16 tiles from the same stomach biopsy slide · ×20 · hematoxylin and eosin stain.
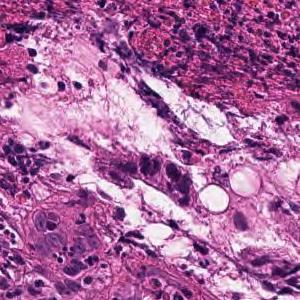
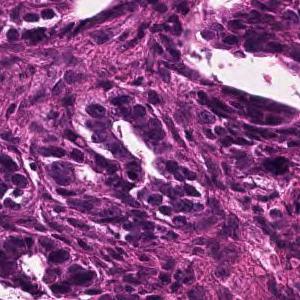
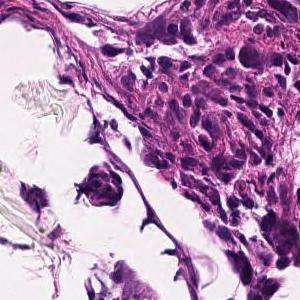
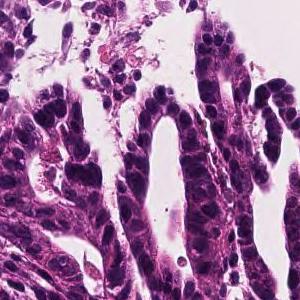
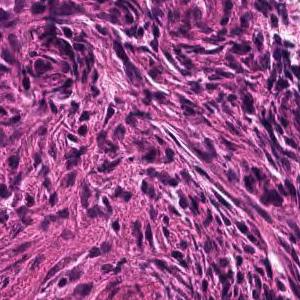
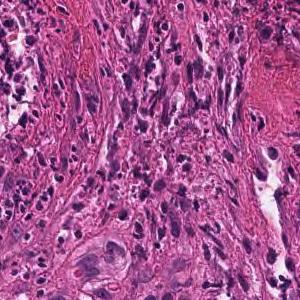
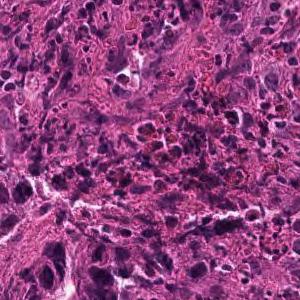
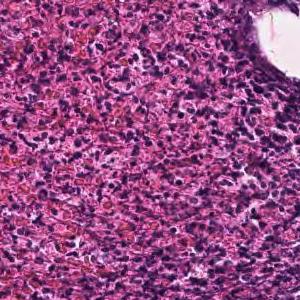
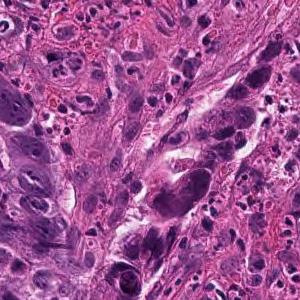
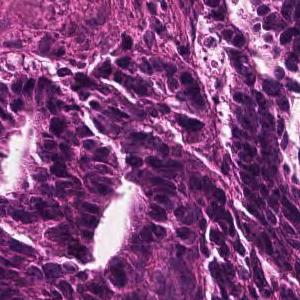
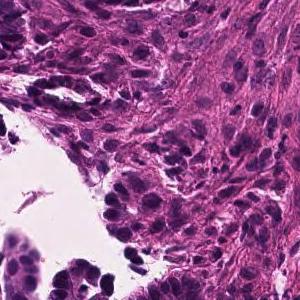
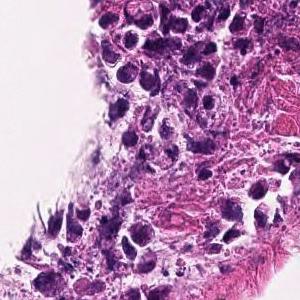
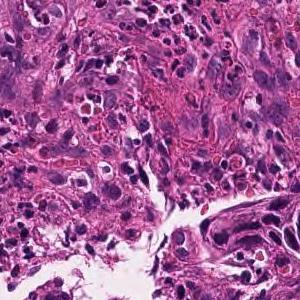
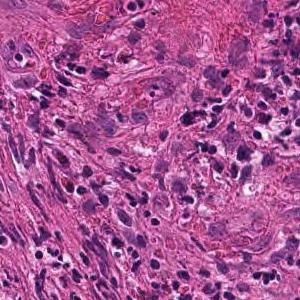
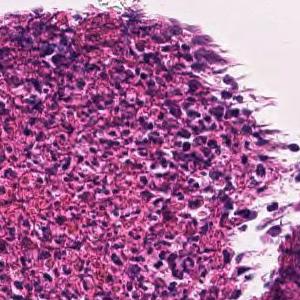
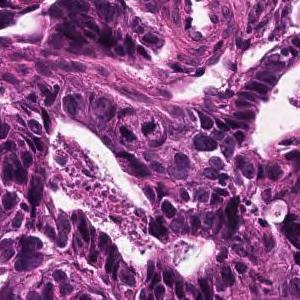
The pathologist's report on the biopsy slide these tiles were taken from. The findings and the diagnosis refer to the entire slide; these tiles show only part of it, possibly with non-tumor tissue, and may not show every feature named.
In the superficial epithelium, tumor tissue that invades by forming medium-sized to small, irregular ducts is observed. moderately differentiated tubular adenocarcinoma.
